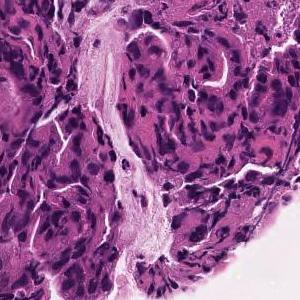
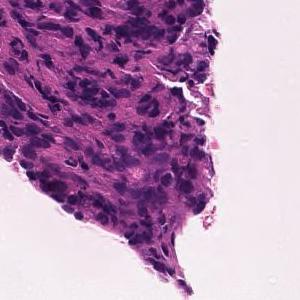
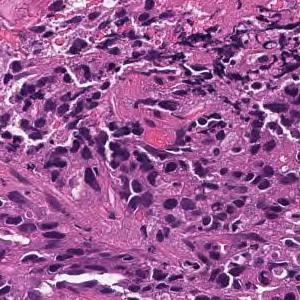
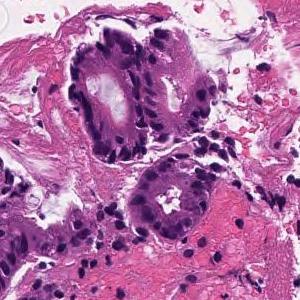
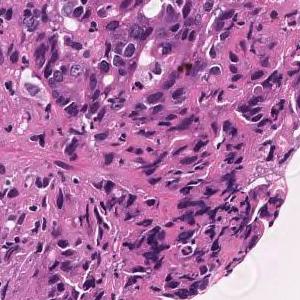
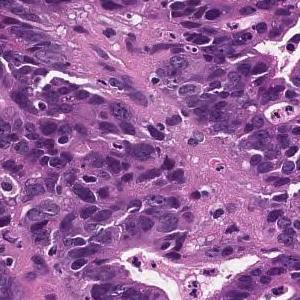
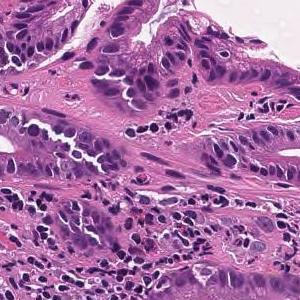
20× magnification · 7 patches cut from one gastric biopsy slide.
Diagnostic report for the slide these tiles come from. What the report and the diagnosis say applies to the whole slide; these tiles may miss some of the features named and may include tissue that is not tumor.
In the superficial epithelium, tumor tissue that invades by forming medium-sized to small, irregular ducts is observed. moderately differentiated tubular adenocarcinoma.
